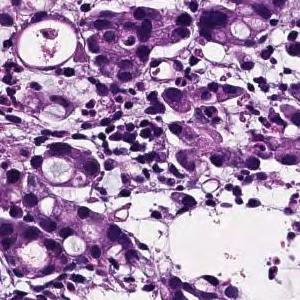
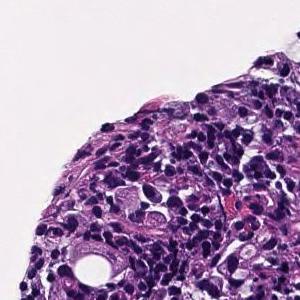
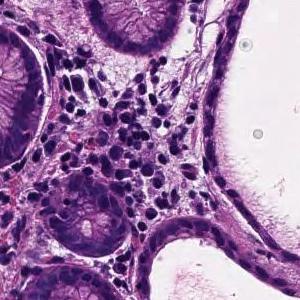
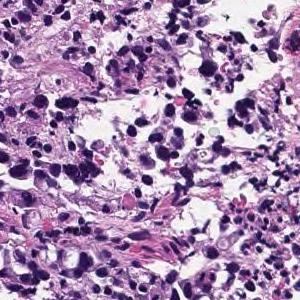
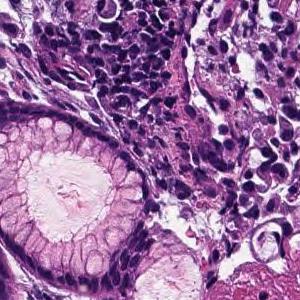
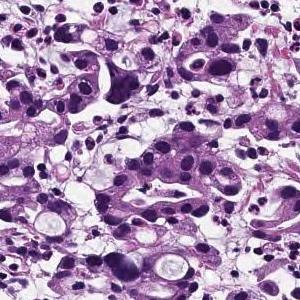
6 tiles from the same stomach biopsy slide, each 300 × 300 pixels, H&E stain, scanned at ×20.
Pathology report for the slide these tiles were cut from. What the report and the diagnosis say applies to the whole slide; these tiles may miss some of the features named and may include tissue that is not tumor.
Tumor tissue consisting of cord-like or small, irregular glandular ducts fused and infiltrated is observed in the superficial epithelium. Poorly differentiated adenocarcinoma, non-solid type
The non-solid type named here is a Japanese Classification of Gastric Carcinoma category.
